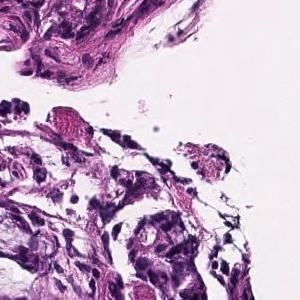
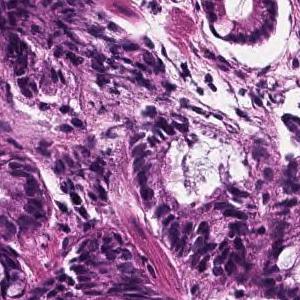
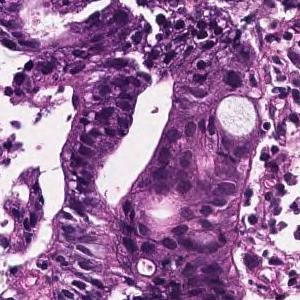
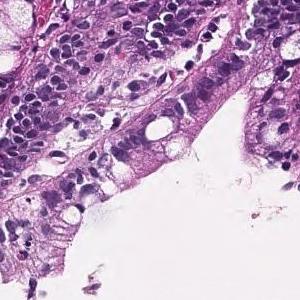
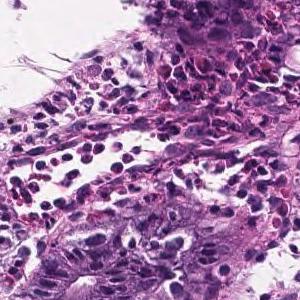
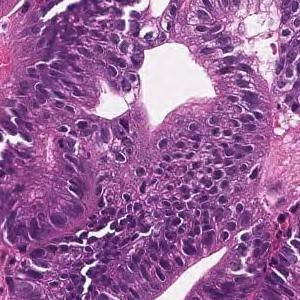
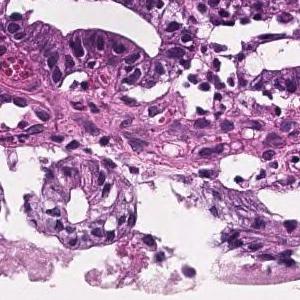
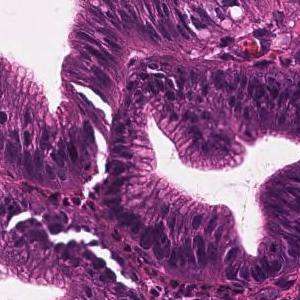
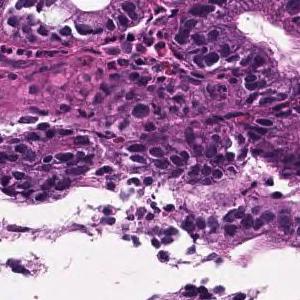
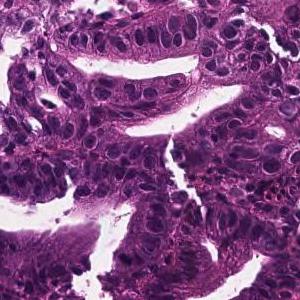
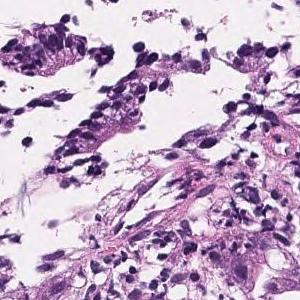
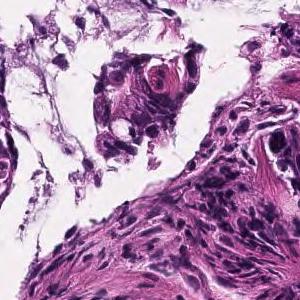
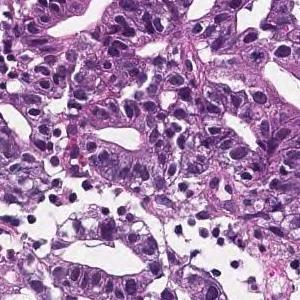
H&E, scanned at ×20, 13 tiles from the same stomach biopsy slide, each 300 × 300 pixels.
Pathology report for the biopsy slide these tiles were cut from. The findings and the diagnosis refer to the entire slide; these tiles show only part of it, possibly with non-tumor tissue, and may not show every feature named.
In the superficial epithelium, tumor tissue that invades by forming medium-sized to small, irregular ducts is observed. Well differentiated tubular adenocarcinoma.
